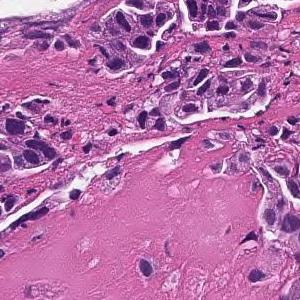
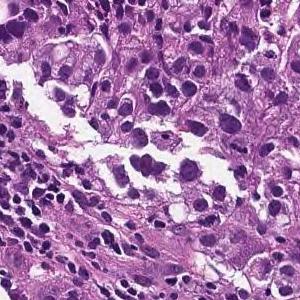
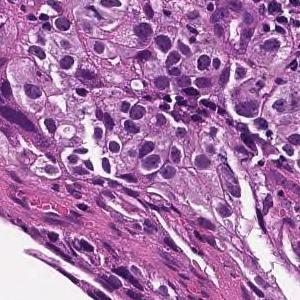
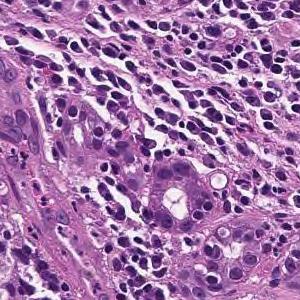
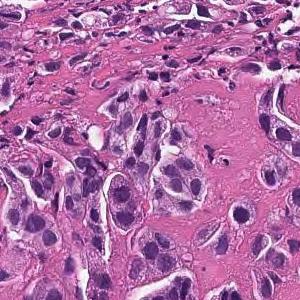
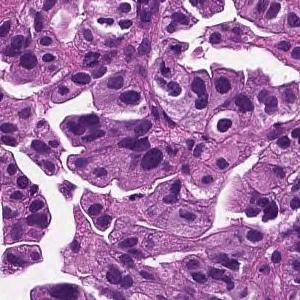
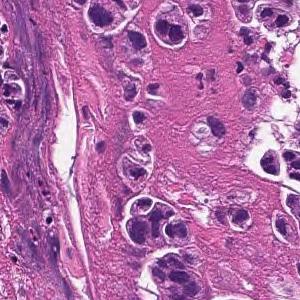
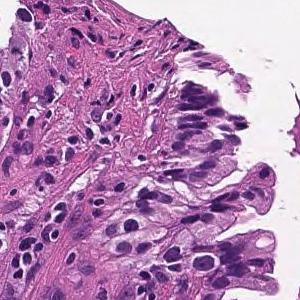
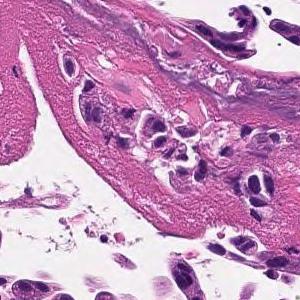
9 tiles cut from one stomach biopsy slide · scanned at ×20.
Diagnostic report for the slide these tiles come from. The report and the diagnosis describe the slide as a whole, so these tiles may not show every feature named and may include non-tumor tissue.
Medium to small, irregular glandular ducts are formed in the superficial epithelium, and in some cases, the glandular ducts are fused to show solid alveolar lesions and infiltrating tumor tissue is observed. Moderately to poorly differentiated adenocarcinoma.
